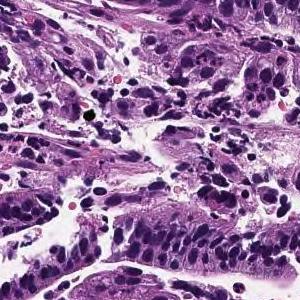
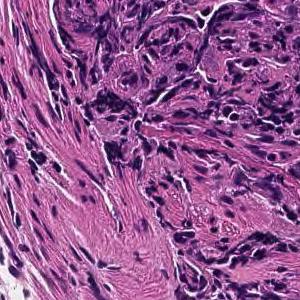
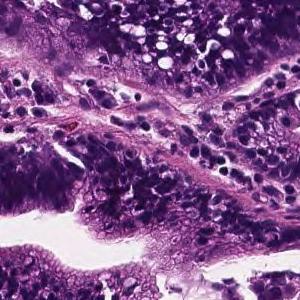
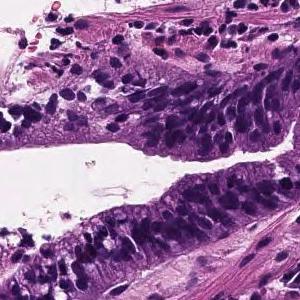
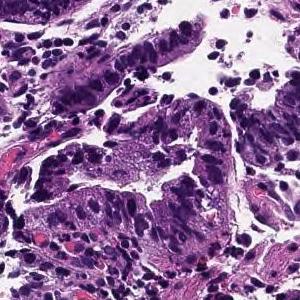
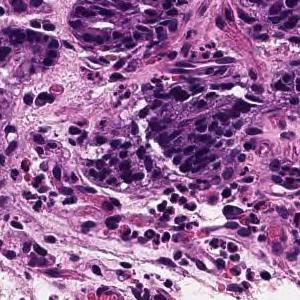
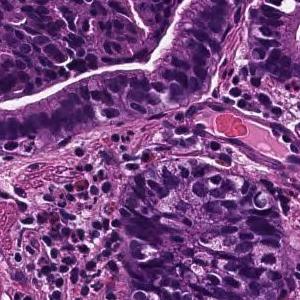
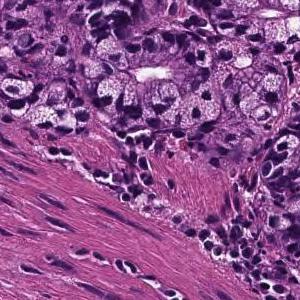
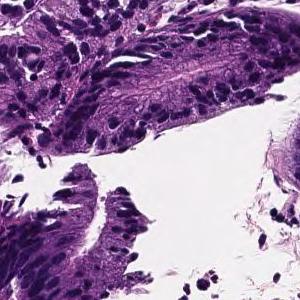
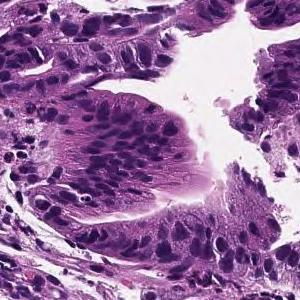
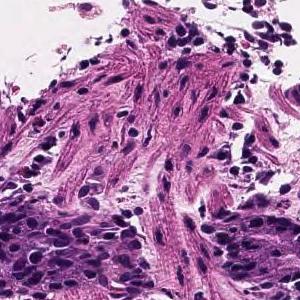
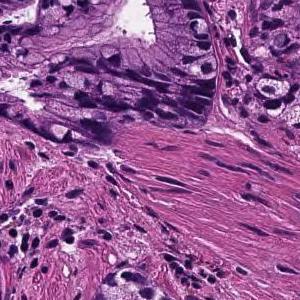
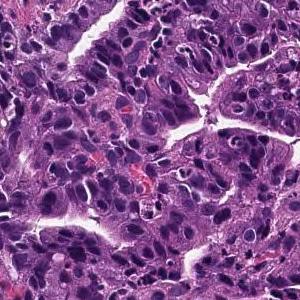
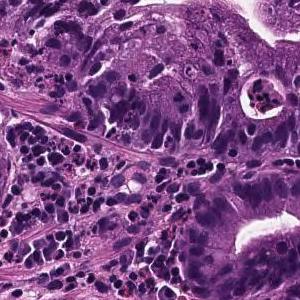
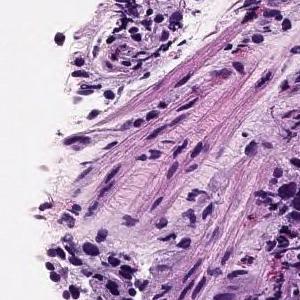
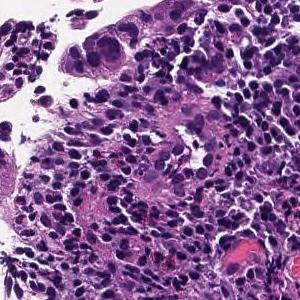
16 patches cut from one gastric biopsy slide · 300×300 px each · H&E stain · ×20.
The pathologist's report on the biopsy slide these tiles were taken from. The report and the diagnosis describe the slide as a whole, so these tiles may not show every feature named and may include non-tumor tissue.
From the superficial epithelium to the muscularis mucosae, tumor tissue consisting of medium-sized and irregular glandular ducts infiltrating is observed. Well differentiated tubular adenocarcinoma
